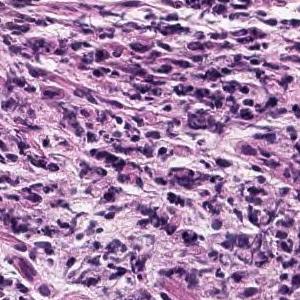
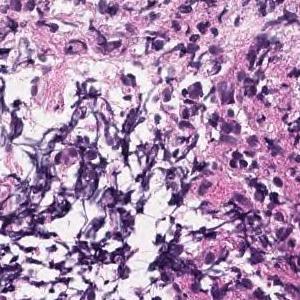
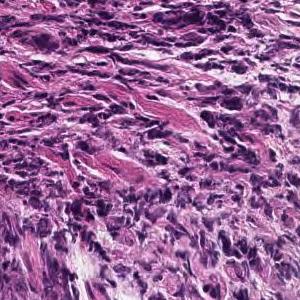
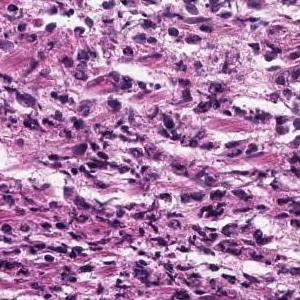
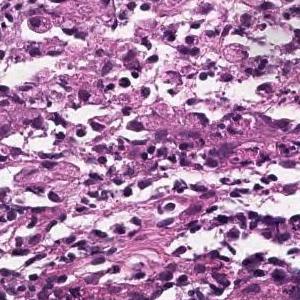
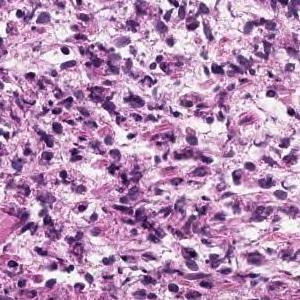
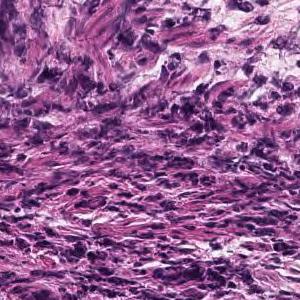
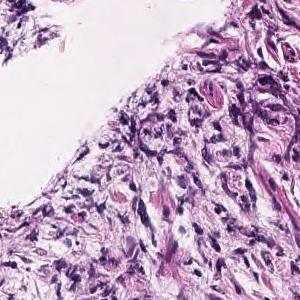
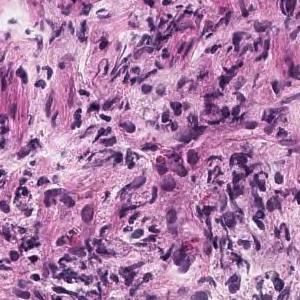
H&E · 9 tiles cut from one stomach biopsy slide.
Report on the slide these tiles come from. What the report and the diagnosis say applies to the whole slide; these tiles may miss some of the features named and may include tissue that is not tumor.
In the lamina propria, a tumor tissue consisting of signet ring cell type atypical epithelial cells infiltrating is observed. Signet ring cell carcinoma.
